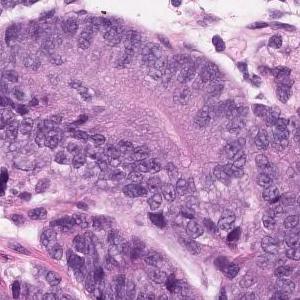
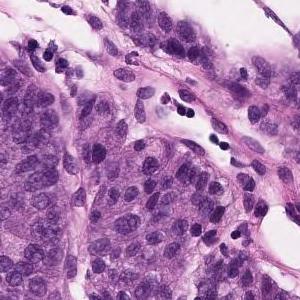
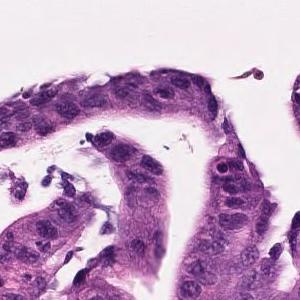
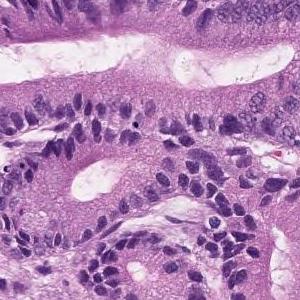
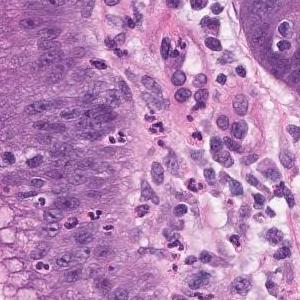
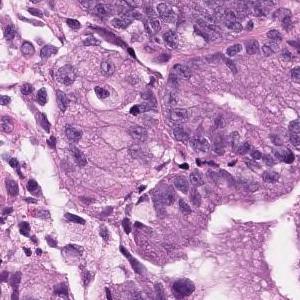
20× magnification · H&E stain · 6 tiles from the same stomach biopsy slide · 300 × 300 pixels each.
The pathologist's report on the biopsy slide these tiles were taken from. The report describes the whole slide, diagnosis included: not every finding it names need appear in these tiles, which may also show non-tumor tissue.
On the superficial epithelium, tumor tissue consisting of large, irregular glandular ducts partially fused and infiltrated is observed. Well to moderately differentiated tubular adenocarcinoma (well differentiated tubular adenocarcinoma, moderately differentiated tubular adenocarcinoma)
Tumor subtype: well to moderately differentiated tubular adenocarcinoma.
